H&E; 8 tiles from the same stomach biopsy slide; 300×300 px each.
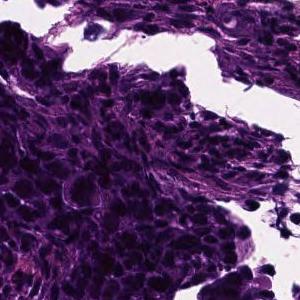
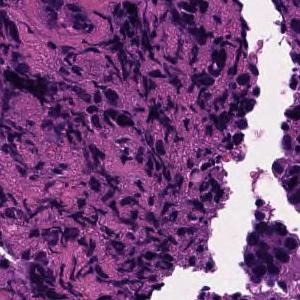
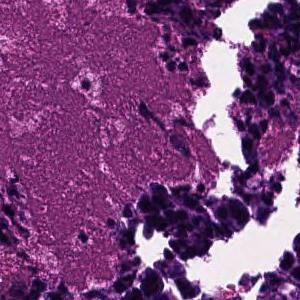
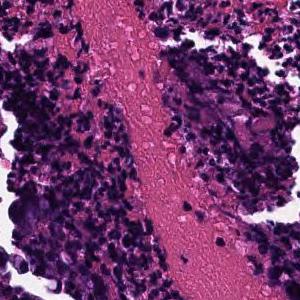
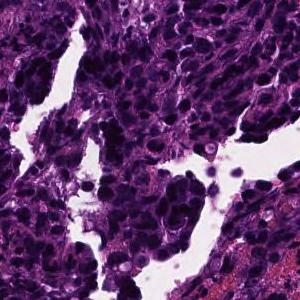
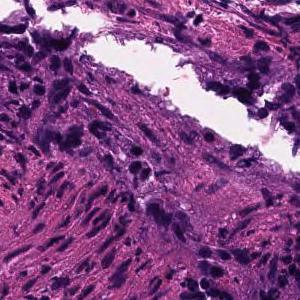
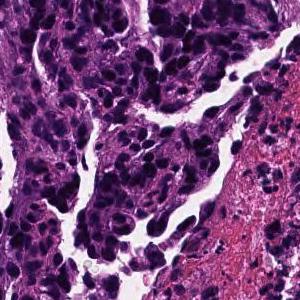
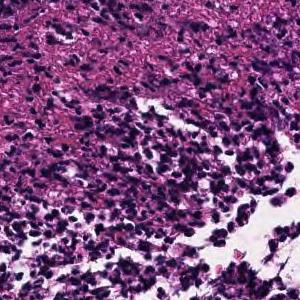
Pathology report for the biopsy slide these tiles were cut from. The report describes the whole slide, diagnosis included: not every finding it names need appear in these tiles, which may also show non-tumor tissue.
In the superficial epithelium, tumor tissue that invades by forming medium-sized to small, irregular ducts is observed. moderately differentiated tubular adenocarcinoma.
